12 tiles cut from one stomach biopsy slide; hematoxylin and eosin stain.
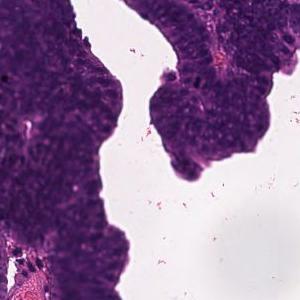
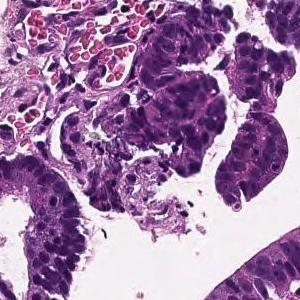
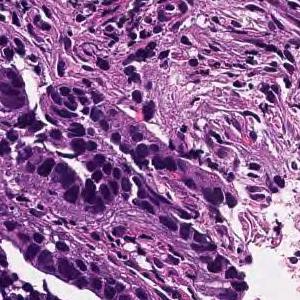
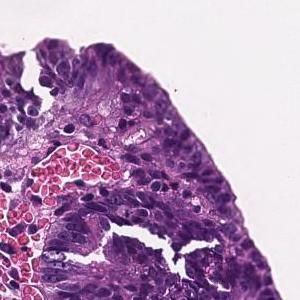
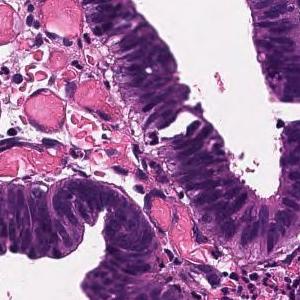
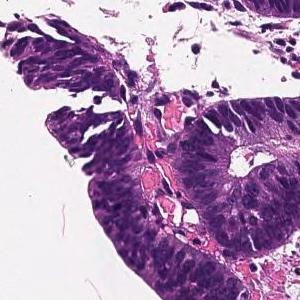
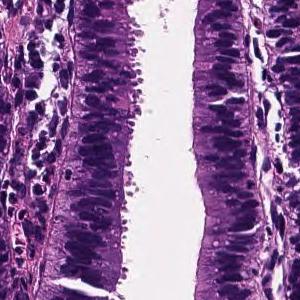
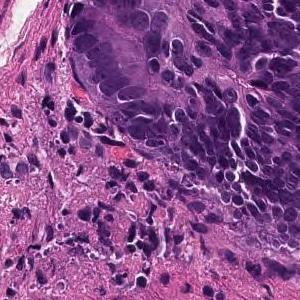
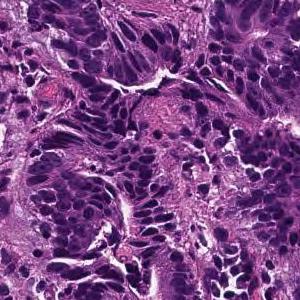
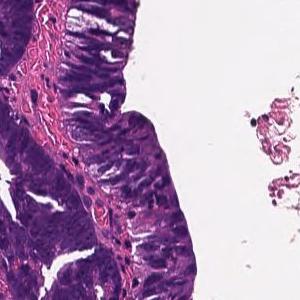
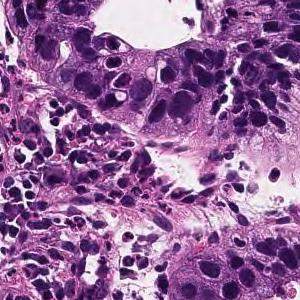
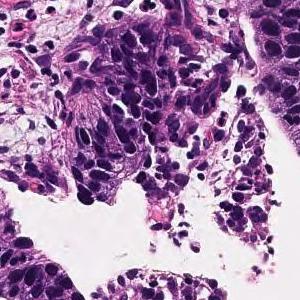
Report on the slide these tiles come from. The findings and the diagnosis refer to the entire slide; these tiles show only part of it, possibly with non-tumor tissue, and may not show every feature named.
Tumor tissue consisting of large papillary structures is found in the superficial epithelium. Papillary adenocarcinoma.
